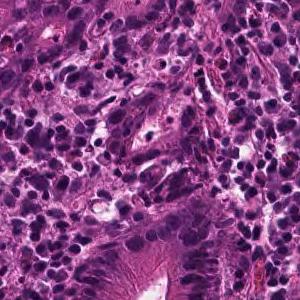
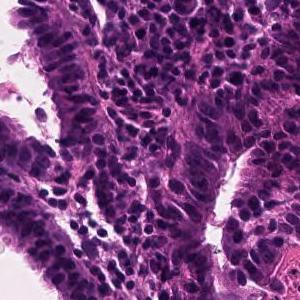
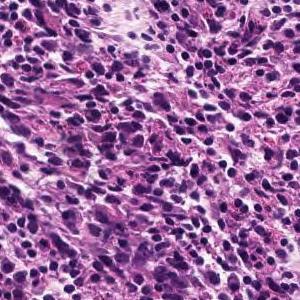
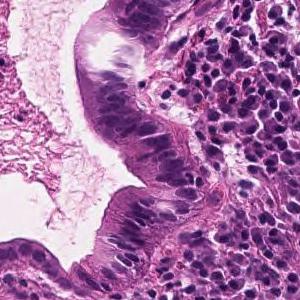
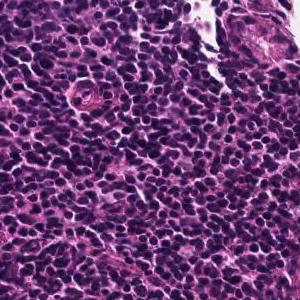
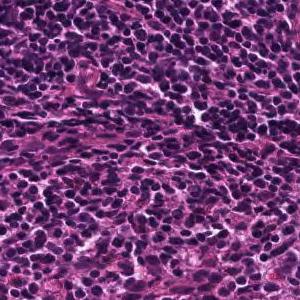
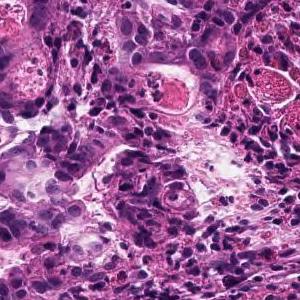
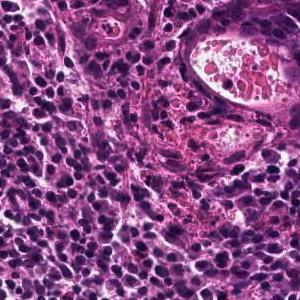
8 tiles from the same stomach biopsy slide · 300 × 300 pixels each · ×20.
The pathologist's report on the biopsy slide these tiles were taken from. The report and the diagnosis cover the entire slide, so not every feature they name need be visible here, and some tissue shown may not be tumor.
Tumor tissue consisting of medium-sized, cord-like or irregular glandular infiltration is observed in the superficial epithelium. Poorly differentiated adenocarcinoma, non-solid type or moderately differentiated tubular adenocarcinoma
The dataset labels this slide poorly differentiated adenocarcinoma, non-solid type.
The non-solid type named here is a Japanese Classification of Gastric Carcinoma category.
